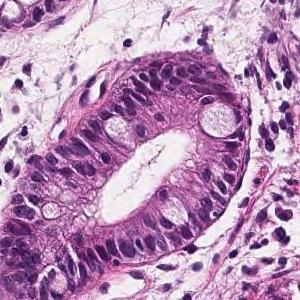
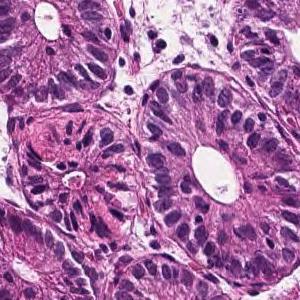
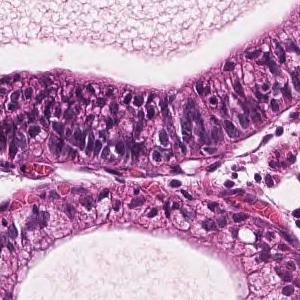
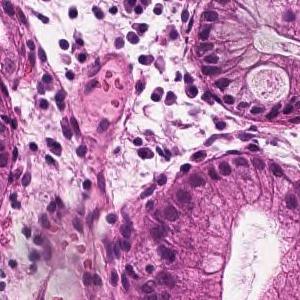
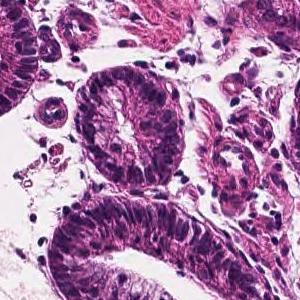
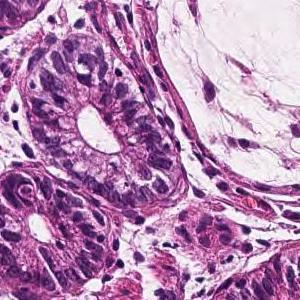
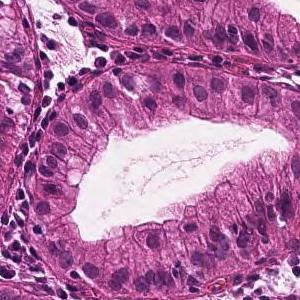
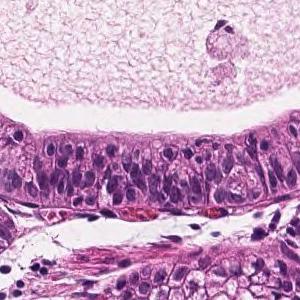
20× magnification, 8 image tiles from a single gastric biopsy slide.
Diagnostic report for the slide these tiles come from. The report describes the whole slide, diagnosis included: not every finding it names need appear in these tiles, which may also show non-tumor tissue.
In the superficial epithelium, tumor tissue that invades by forming medium-sized to small, irregular ducts is observed. Well differentiated tubular adenocarcinoma.
